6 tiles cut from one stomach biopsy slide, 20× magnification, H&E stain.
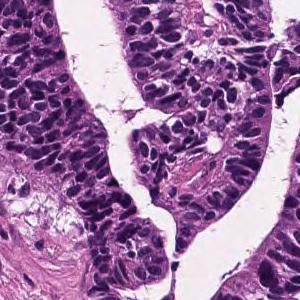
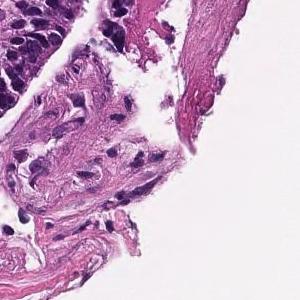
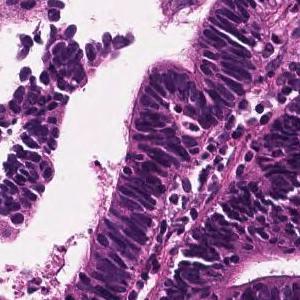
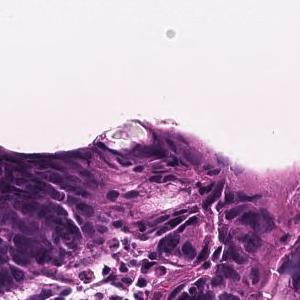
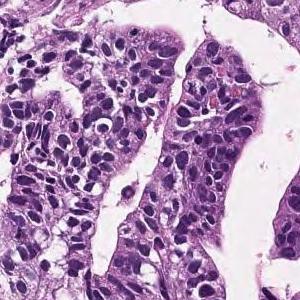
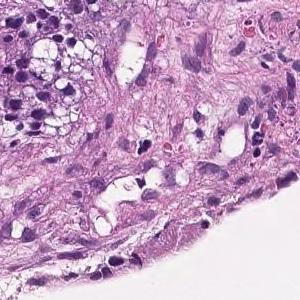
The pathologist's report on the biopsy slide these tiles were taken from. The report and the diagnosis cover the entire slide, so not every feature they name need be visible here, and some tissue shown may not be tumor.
In the superficial epithelium, tumor tissue that invades by forming medium-sized to small, irregular ducts is observed. Well differentiated tubular adenocarcinoma.
